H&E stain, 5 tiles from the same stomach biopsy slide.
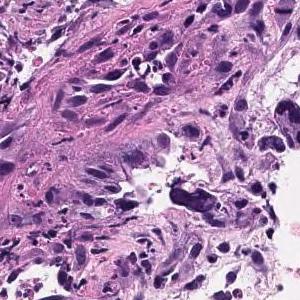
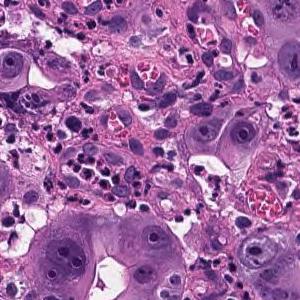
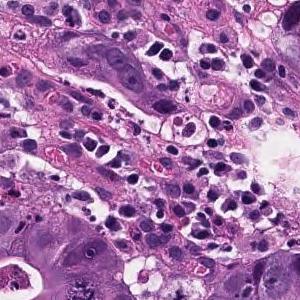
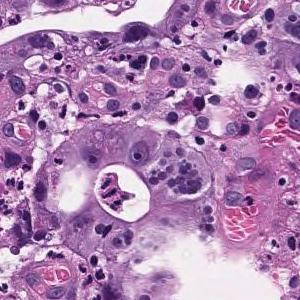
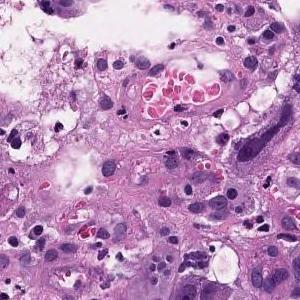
Pathology report for the biopsy slide these tiles were cut from. The findings and the diagnosis refer to the entire slide; these tiles show only part of it, possibly with non-tumor tissue, and may not show every feature named.
In the superficial epithelium, medium to small irregular gland ducts are formed, and in some cases, the ducts are fused to show solid alveolar lesions and infiltrating tumor tissue is observed. Moderately to poorly differentiated adenocarcinoma
